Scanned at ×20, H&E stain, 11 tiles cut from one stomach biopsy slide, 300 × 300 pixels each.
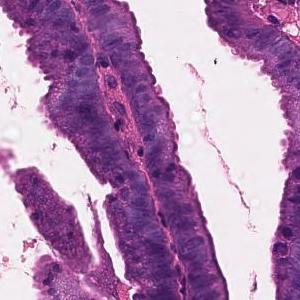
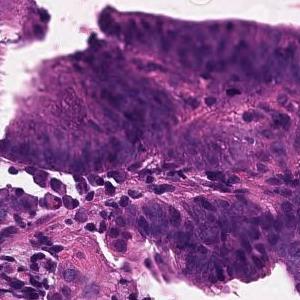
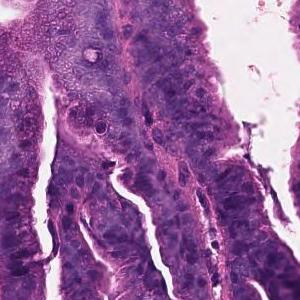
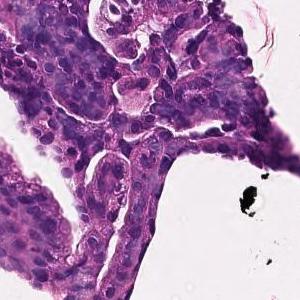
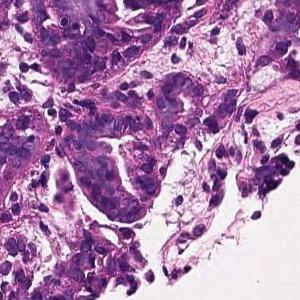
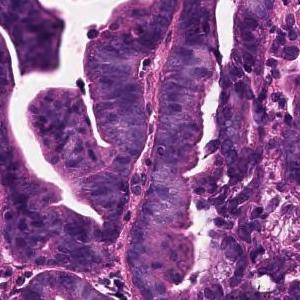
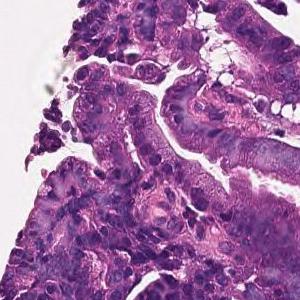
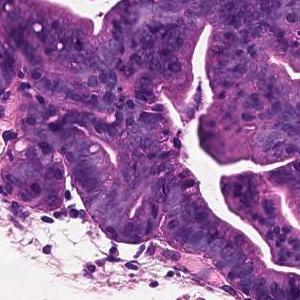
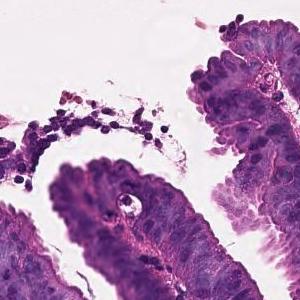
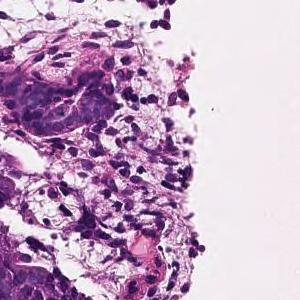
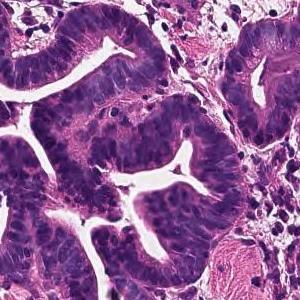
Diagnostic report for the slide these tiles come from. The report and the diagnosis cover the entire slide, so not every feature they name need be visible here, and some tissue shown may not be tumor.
Tumor cells are large, highly columnar, large club-shaped nuclei, and are associated with chromatin aggregation. Papillary adenocarcinoma.
